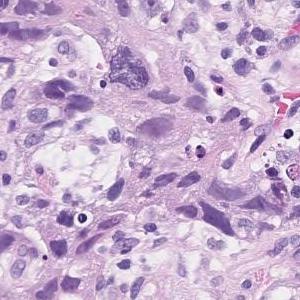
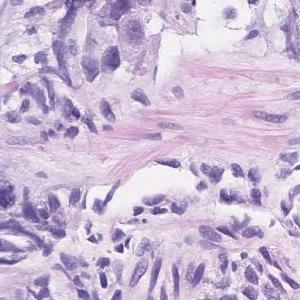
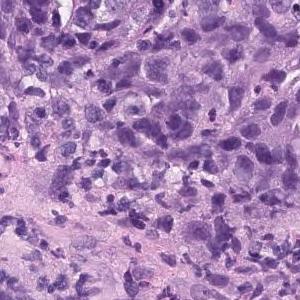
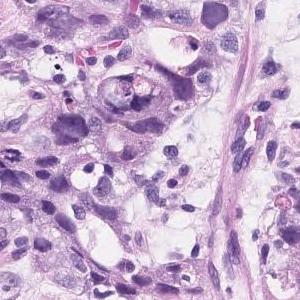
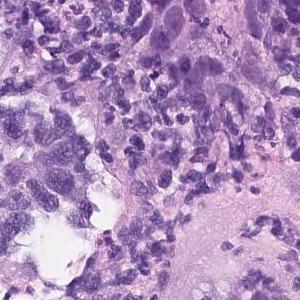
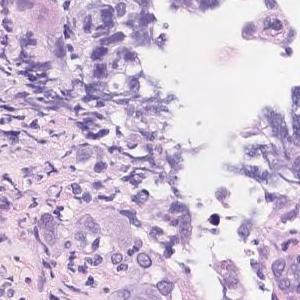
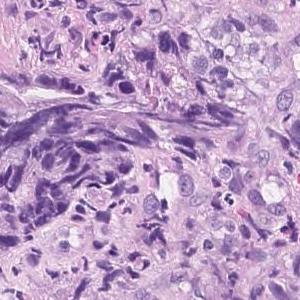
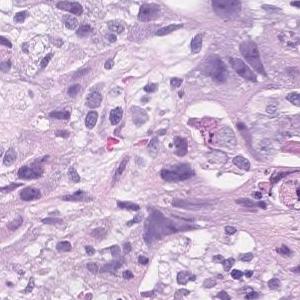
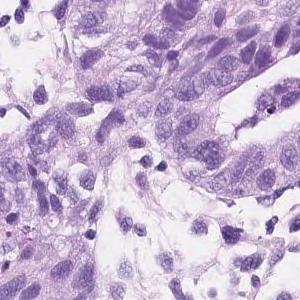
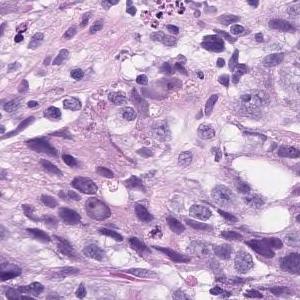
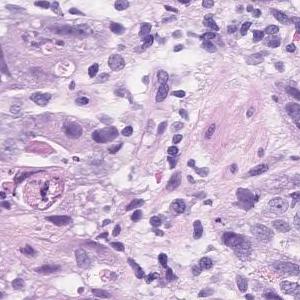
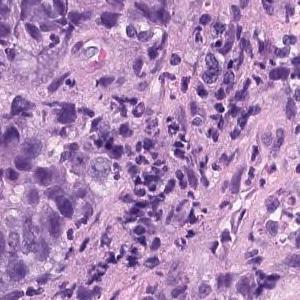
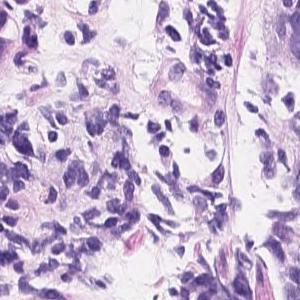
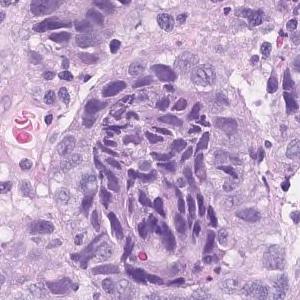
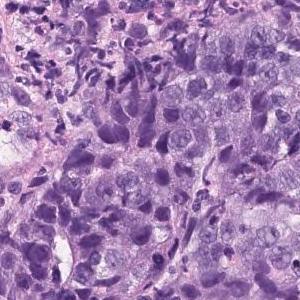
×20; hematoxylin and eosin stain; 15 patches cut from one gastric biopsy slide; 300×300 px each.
Diagnostic report for the slide these tiles come from. The findings and the diagnosis refer to the entire slide; these tiles show only part of it, possibly with non-tumor tissue, and may not show every feature named.
Atypical epithelial cells infiltrating and proliferating diffusely or while forming vesicles is observed. Poorly differentiated adenocarcinoma (poorly differentiated adenocarcinoma, solid type moderately differentiated tubular adenocarcinoma)
Labeled in the dataset as poorly differentiated adenocarcinoma, solid type (Japanese Classification of Gastric Carcinoma). The WHO 2019 equivalent is tubular adenocarcinoma, poorly differentiated.
